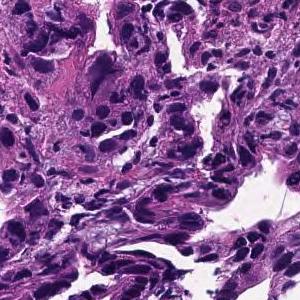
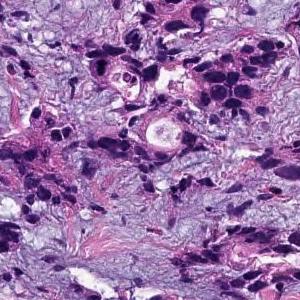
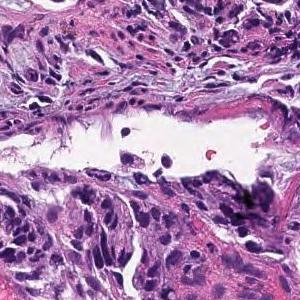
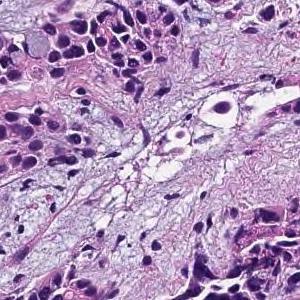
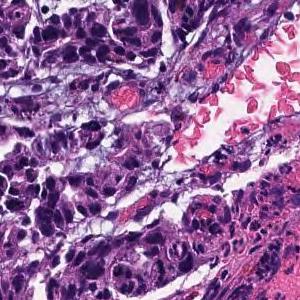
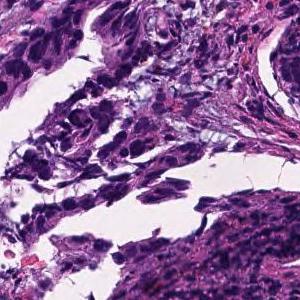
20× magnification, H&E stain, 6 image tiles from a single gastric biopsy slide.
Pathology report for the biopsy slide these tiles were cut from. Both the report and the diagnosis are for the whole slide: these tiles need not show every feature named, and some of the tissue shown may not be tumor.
Tumor tissue consisting of cord-like or small, irregular glandular ducts fused and infiltrated is observed in the superficial epithelium. Poorly differentiated adenocarcinoma, non-solid type
"Non-solid type" is a category of the Japanese Classification of Gastric Carcinoma.
